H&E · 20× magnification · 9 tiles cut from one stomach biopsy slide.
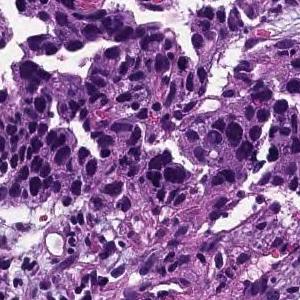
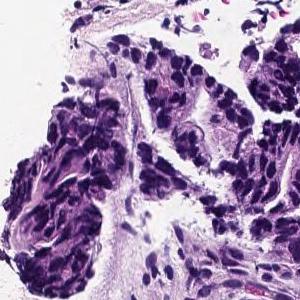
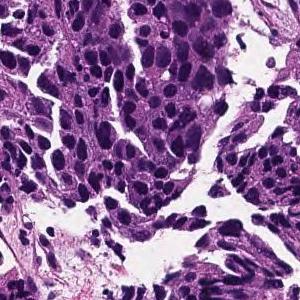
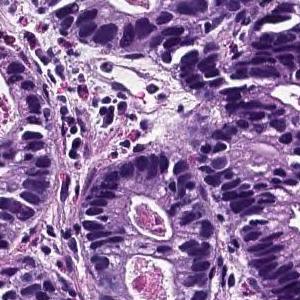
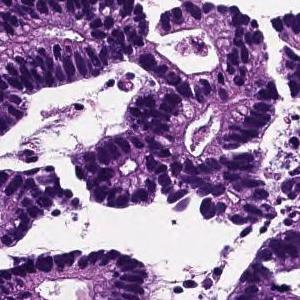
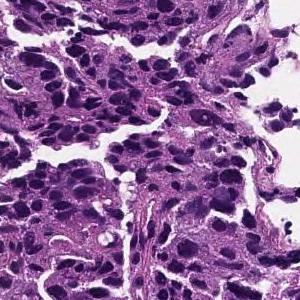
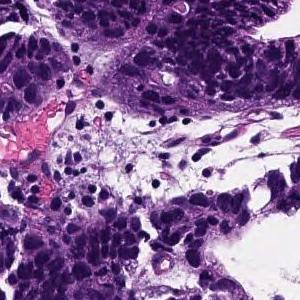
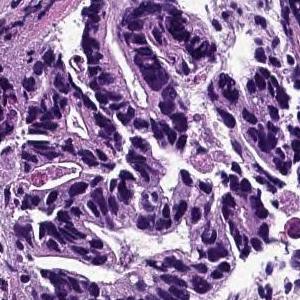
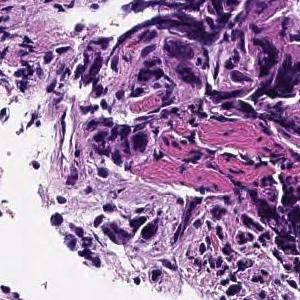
The pathologist's report on the biopsy slide these tiles were taken from. Both the report and the diagnosis are for the whole slide: these tiles need not show every feature named, and some of the tissue shown may not be tumor.
From the superficial epithelium to the muscularis mucosae, tumor tissue consisting of medium-sized and irregular glandular ducts infiltrating is observed. Well differentiated tubular adenocarcinoma
